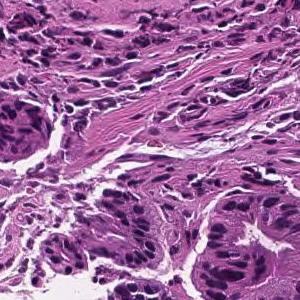
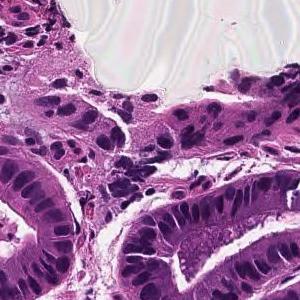
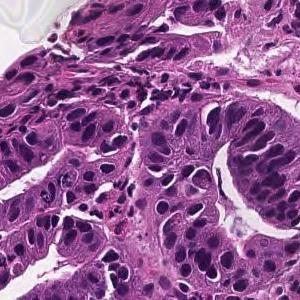
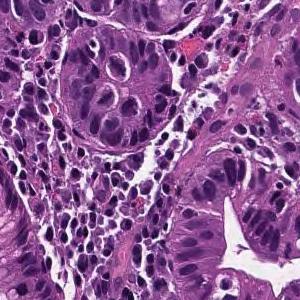
4 tiles from the same stomach biopsy slide · H&E stain · 20× magnification.
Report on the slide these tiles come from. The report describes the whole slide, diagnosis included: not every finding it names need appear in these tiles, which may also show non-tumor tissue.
From the superficial epithelium to the muscularis mucosae, tumor tissue consisting of medium-sized and irregular glandular ducts infiltrating is observed. Well differentiated tubular adenocarcinoma
